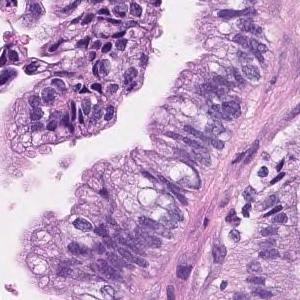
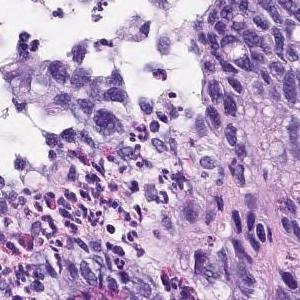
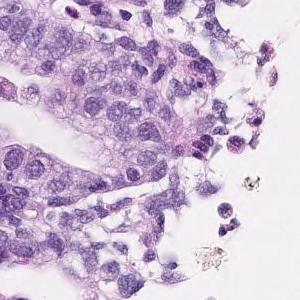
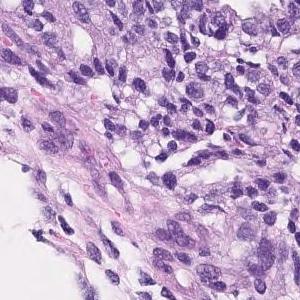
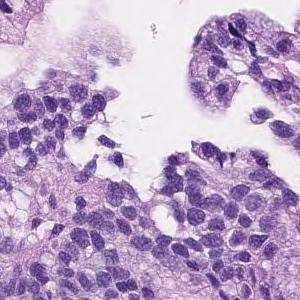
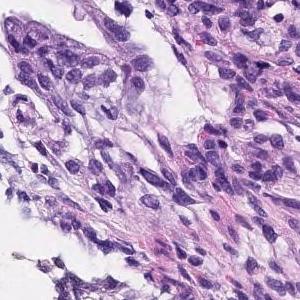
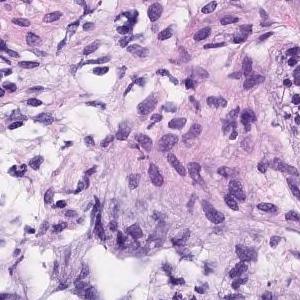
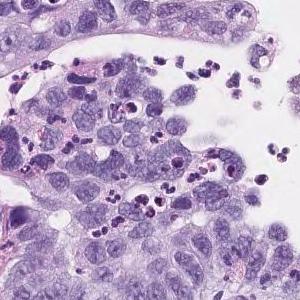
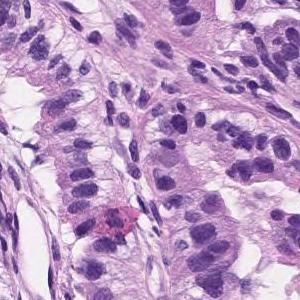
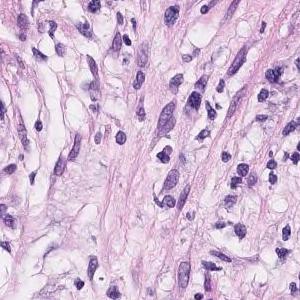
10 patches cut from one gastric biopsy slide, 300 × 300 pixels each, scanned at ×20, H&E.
The pathologist's report on the biopsy slide these tiles were taken from. The report and the diagnosis describe the slide as a whole, so these tiles may not show every feature named and may include non-tumor tissue.
Tumor cells are large, highly columnar, large club-shaped nuclei, and are associated with chromatin aggregation. Papillary adenocarcinoma.
